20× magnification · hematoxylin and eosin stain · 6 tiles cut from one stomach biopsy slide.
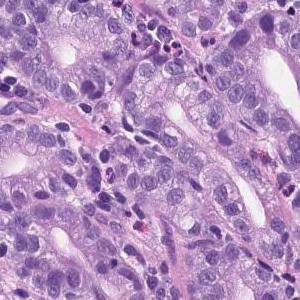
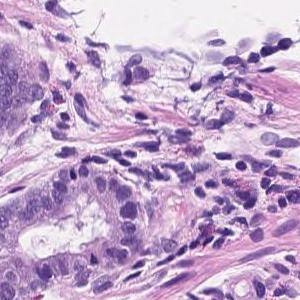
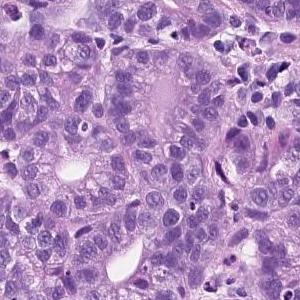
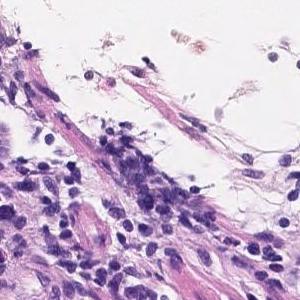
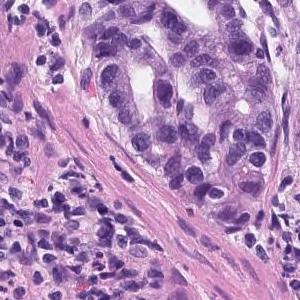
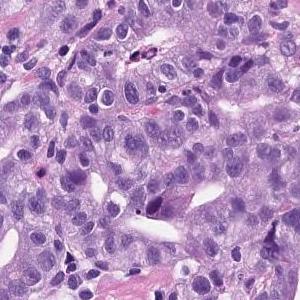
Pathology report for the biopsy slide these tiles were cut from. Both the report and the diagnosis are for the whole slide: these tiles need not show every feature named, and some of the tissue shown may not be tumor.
Tumor tissue consisting of medium-sized and irregular ducts is observed infiltrating in the superficial epithelium. Tumor cells are highly columnar, with nuclei aligned basolaterally and polarized. Well differentiated tubular adenocarcinoma.
